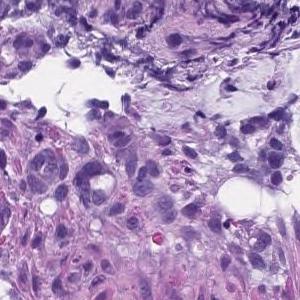
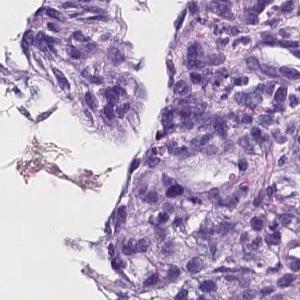
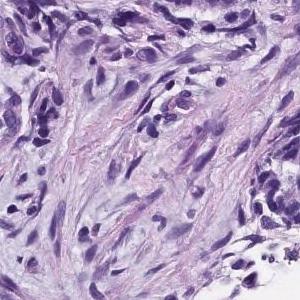
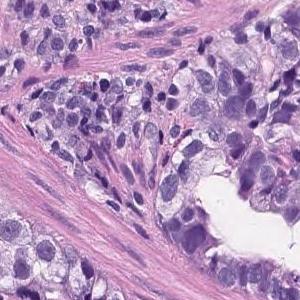
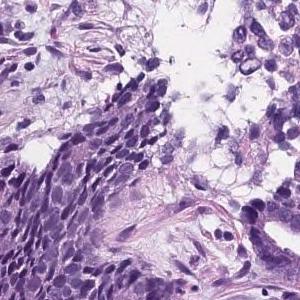
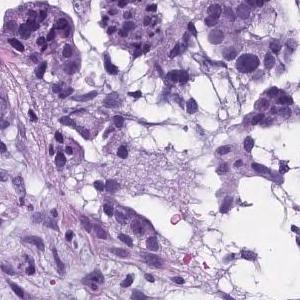
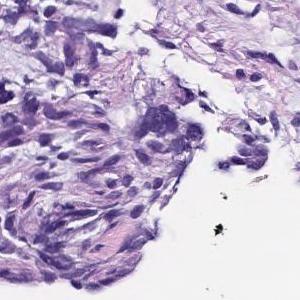
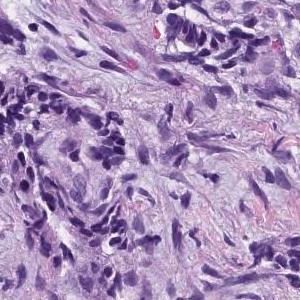
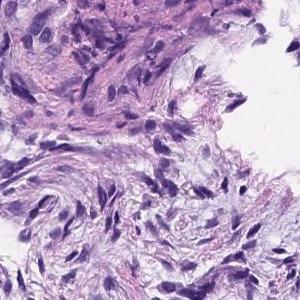
Hematoxylin and eosin stain · 20× magnification · 9 image tiles from a single gastric biopsy slide · 300 × 300 pixels each.
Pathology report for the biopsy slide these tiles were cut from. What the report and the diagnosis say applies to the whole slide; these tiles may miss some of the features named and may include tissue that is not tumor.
In the superficial epithelium, tumor tissue that invades by forming medium-sized to small, irregular ducts is observed. Moderately differentiated adenocarcinoma.
Histologic type: Moderately differentiated tubular adenocarcinoma.
